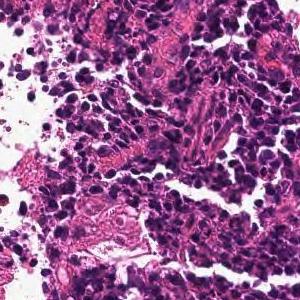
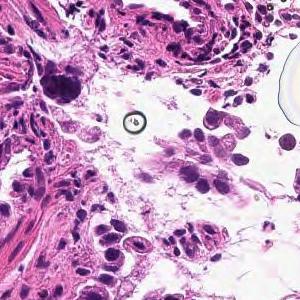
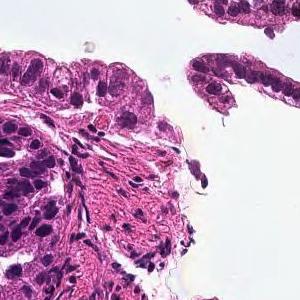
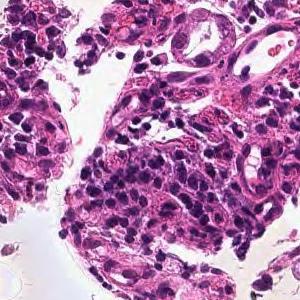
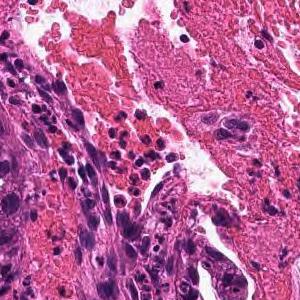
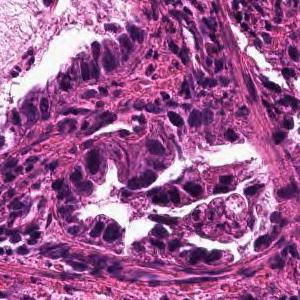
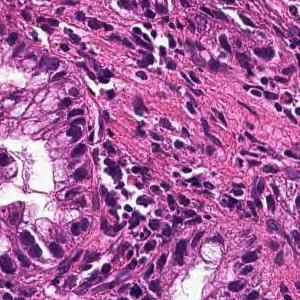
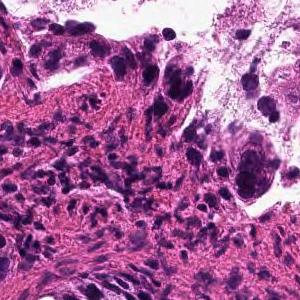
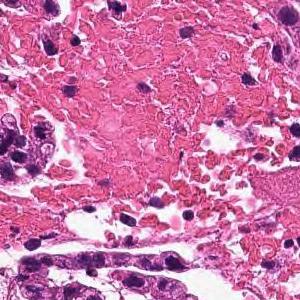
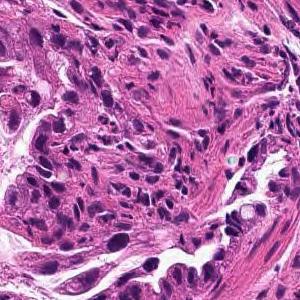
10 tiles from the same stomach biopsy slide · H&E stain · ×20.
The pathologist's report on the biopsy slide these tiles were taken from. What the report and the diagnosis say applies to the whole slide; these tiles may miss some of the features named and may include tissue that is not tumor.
From the superficial epithelium to the muscularis mucosae, tumor tissue infiltrating by forming medium-sized irregular gland ducts is observed. Well differentiated tubular adenocarcinoma
